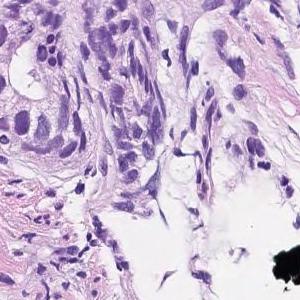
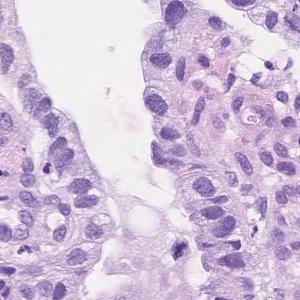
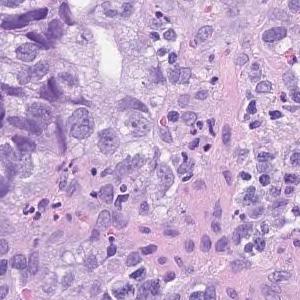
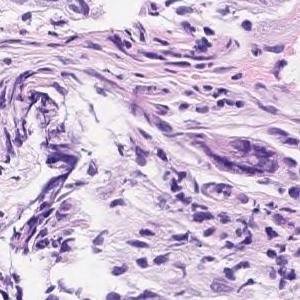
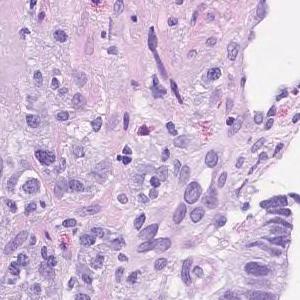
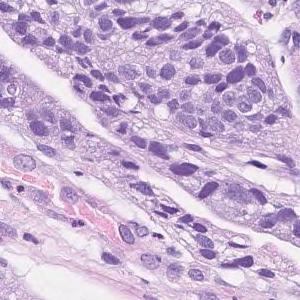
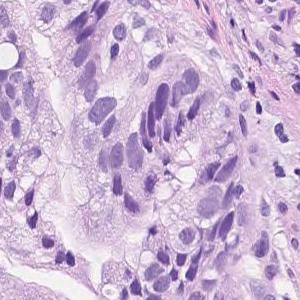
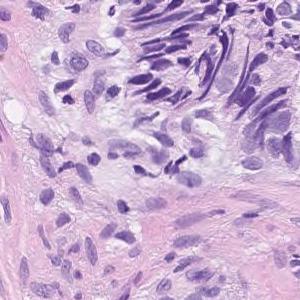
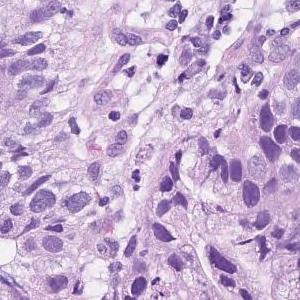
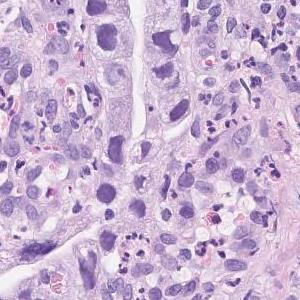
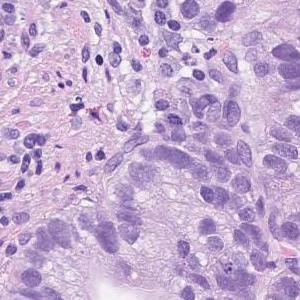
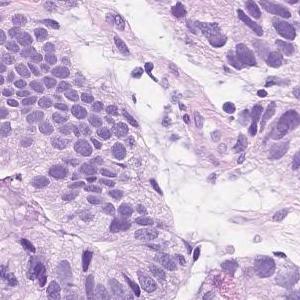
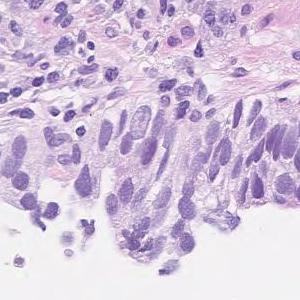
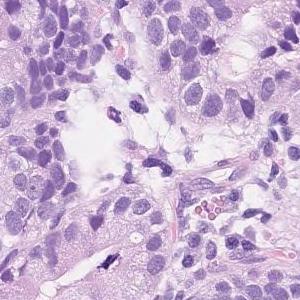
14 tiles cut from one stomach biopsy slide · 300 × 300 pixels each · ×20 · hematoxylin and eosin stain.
Report on the slide these tiles come from. The report and the diagnosis cover the entire slide, so not every feature they name need be visible here, and some tissue shown may not be tumor.
Atypical l cells with atypical nuclei forming solid or diffuse vesicles or small irregular atypical ducts and growing in a complex manner. moderately differentiated tubular adenocarcinoma
